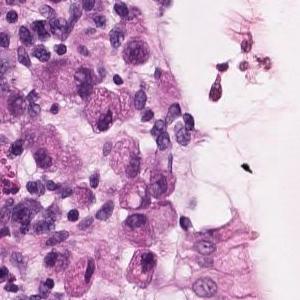
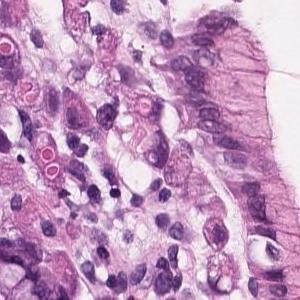
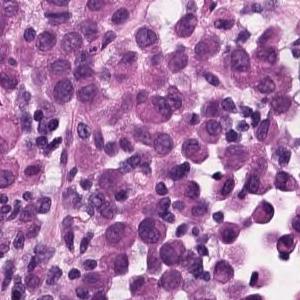
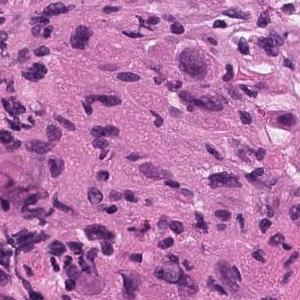
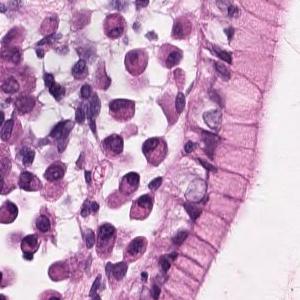
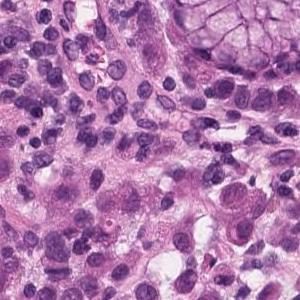
6 tiles cut from one stomach biopsy slide, hematoxylin and eosin stain, scanned at ×20.
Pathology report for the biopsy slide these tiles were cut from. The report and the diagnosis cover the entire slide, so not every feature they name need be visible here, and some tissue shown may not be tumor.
Tumor cells with dense chromatin infiltrate and proliferate in the interstitium in an isolated and scattered manner. Poorly differentiated adenocarcinoma
Tumor subtype: poorly differentiated adenocarcinoma, solid type. This name comes from the Japanese Classification of Gastric Carcinoma; the WHO 2019 classification calls it tubular adenocarcinoma, poorly differentiated.
